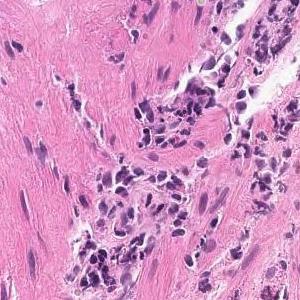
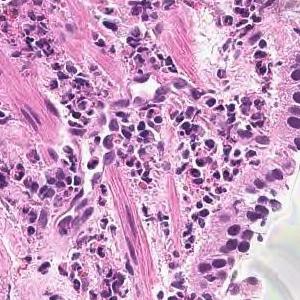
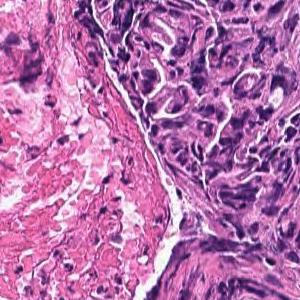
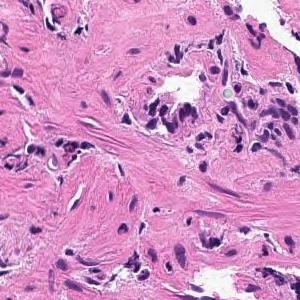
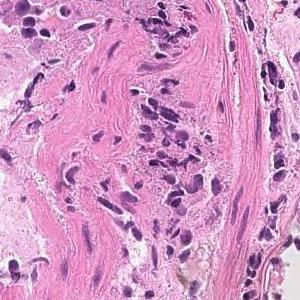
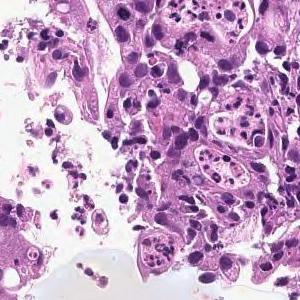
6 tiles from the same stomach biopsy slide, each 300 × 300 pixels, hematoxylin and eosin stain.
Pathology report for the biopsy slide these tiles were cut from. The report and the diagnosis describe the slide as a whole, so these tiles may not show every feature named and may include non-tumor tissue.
On the superficial epithelium, tumor tissue consisting of large irregular glandular ducts partially fused and infiltrated is observed. Well to moderately differentiated tubular adenocarcinoma (well differentiated tubular adenocarcinoma, moderately differentiated tubular adenocarcinoma)
Histological subtype: Well to moderately differentiated tubular adenocarcinoma.
